20× magnification; hematoxylin and eosin stain; 13 tiles from the same stomach biopsy slide; 300 × 300 pixels each.
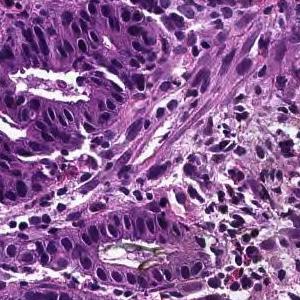
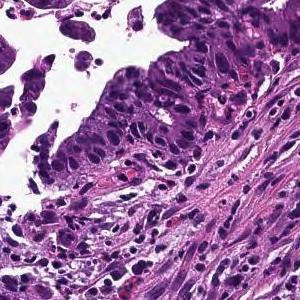
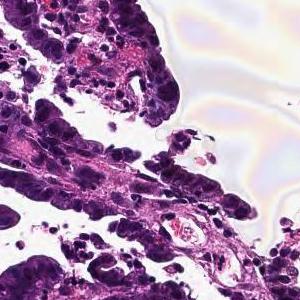
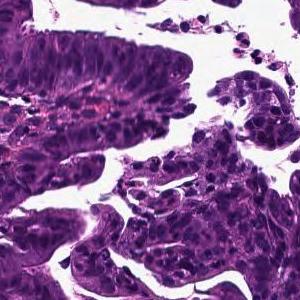
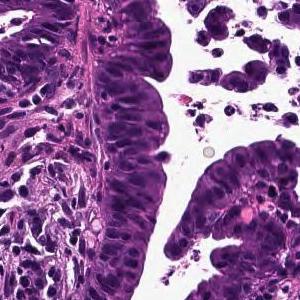
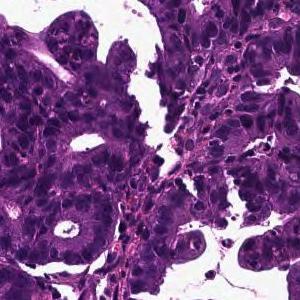
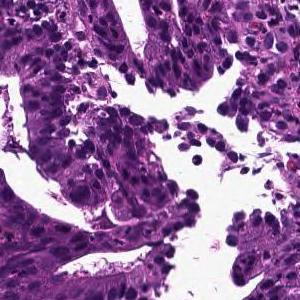
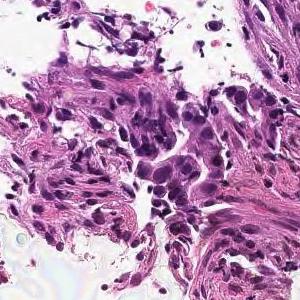
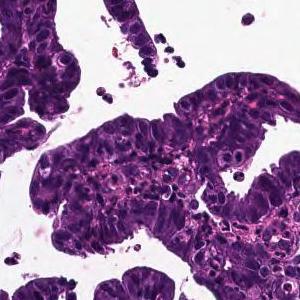
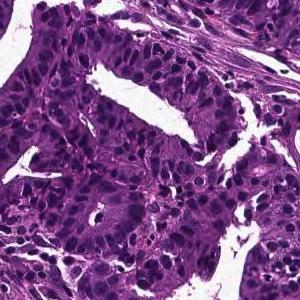
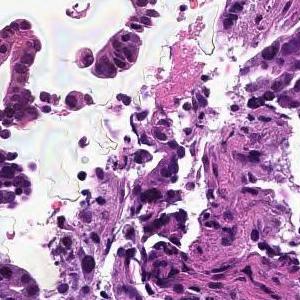
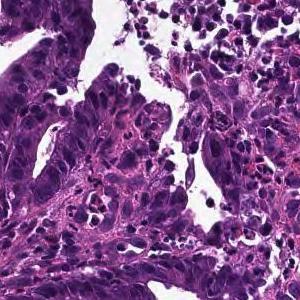
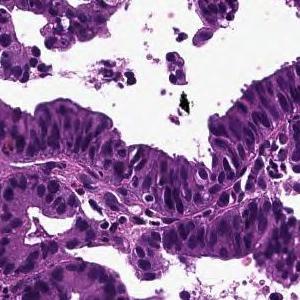
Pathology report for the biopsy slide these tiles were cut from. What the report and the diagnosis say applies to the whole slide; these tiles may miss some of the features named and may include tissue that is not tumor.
Tumor cells are large, highly columnar, large club-shaped nuclei, and are associated with chromatin aggregation. Papillary adenocarcinoma.
